Hematoxylin and eosin stain; 5 image tiles from a single gastric biopsy slide.
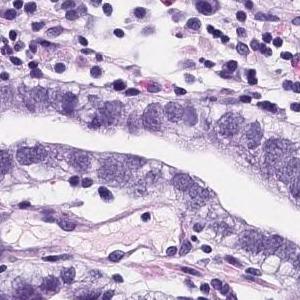
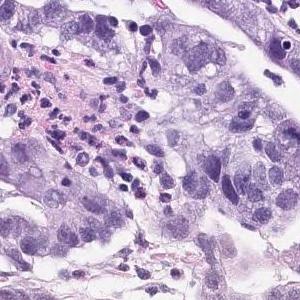
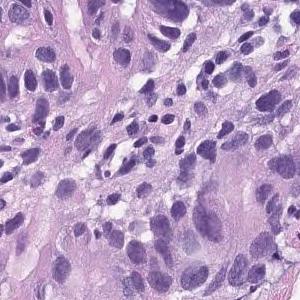
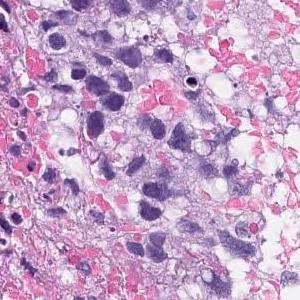
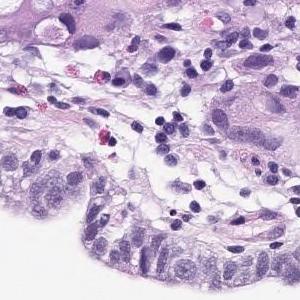
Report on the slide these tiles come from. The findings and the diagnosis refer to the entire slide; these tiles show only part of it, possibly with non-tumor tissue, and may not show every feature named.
In the superficial epithelium, tumor tissue that invades by forming medium-sized to small, irregular ducts is observed. Moderately differentiated adenocarcinoma.
Histological subtype: Moderately differentiated tubular adenocarcinoma.
